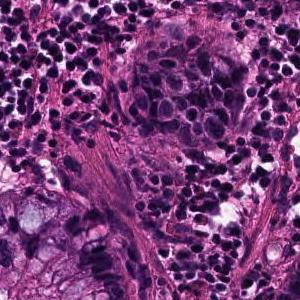
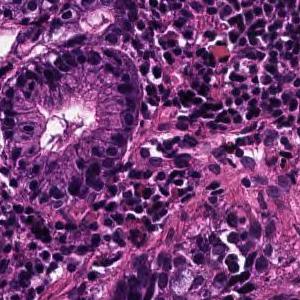
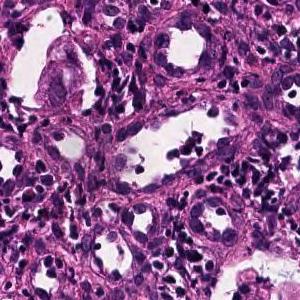
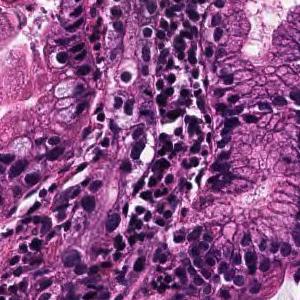
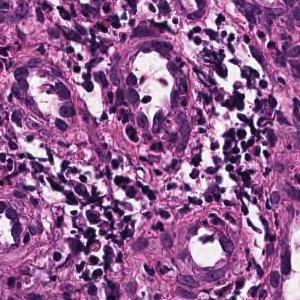
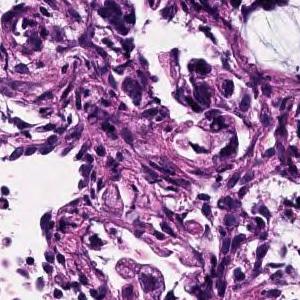
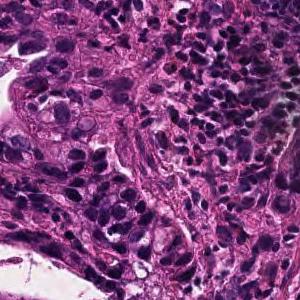
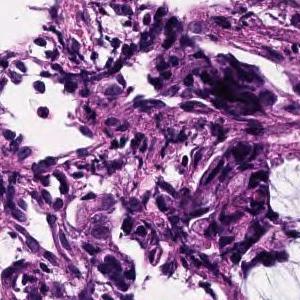
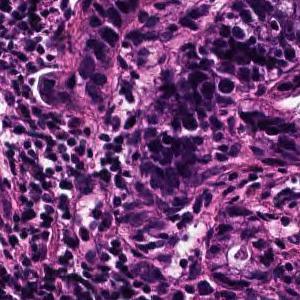
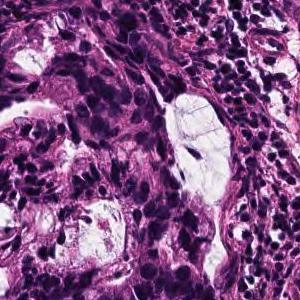
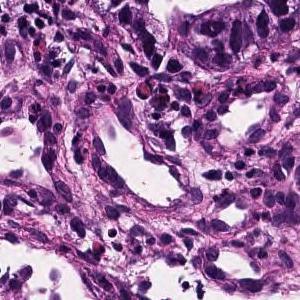
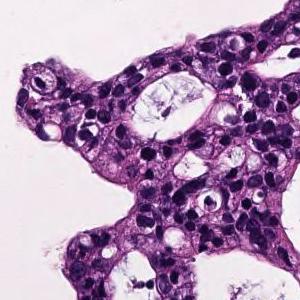
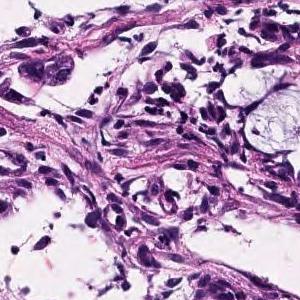
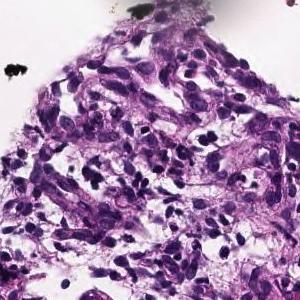
14 patches cut from one gastric biopsy slide; 300×300 px each; H&E stain.
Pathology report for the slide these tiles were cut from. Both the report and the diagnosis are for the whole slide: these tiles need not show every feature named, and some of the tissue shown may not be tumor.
On the superficial epithelium, tumor tissue consisting of large, irregular glandular ducts partially fused and infiltrated is observed. Well to moderately differentiated tubular adenocarcinoma (well differentiated tubular adenocarcinoma, moderately differentiated tubular adenocarcinoma)
Subtype: Well to moderately differentiated tubular adenocarcinoma.
